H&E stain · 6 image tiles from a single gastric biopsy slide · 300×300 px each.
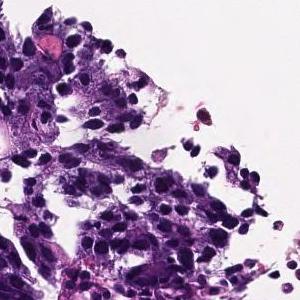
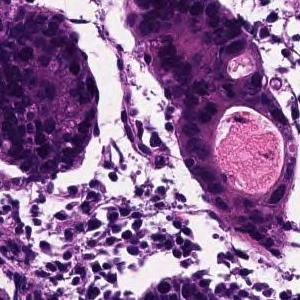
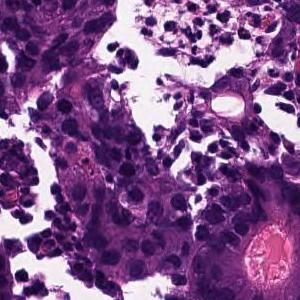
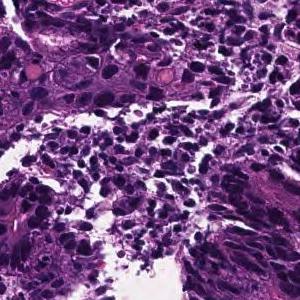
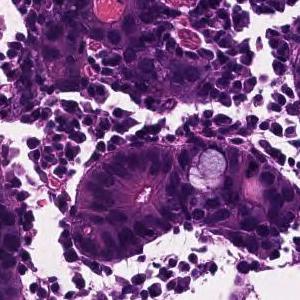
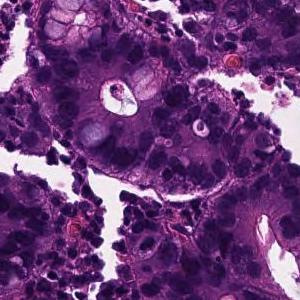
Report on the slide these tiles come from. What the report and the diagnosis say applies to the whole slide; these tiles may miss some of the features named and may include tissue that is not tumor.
From the superficial epithelium to the muscularis mucosae, tumor tissue infiltrating by forming medium-sized irregular gland ducts is observed. Large tumor cells exhibit large nucleus and hyperchromatism. Well differentiated tubular adenocarcinoma
